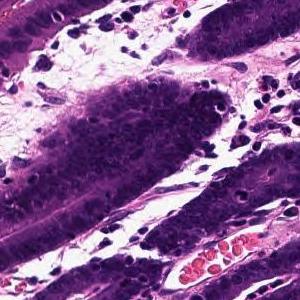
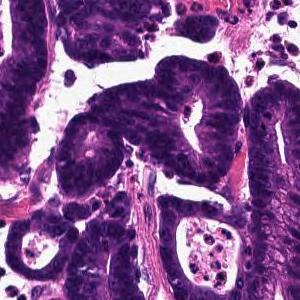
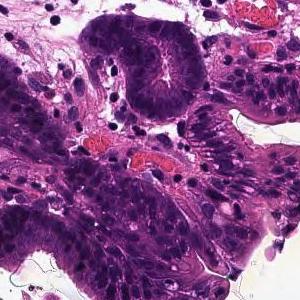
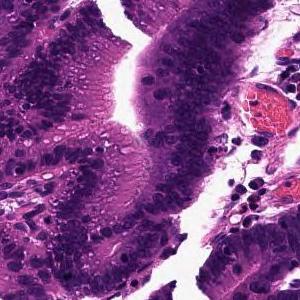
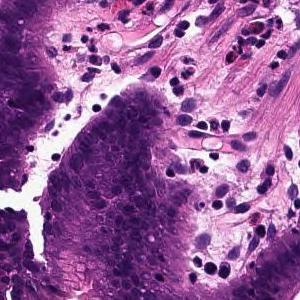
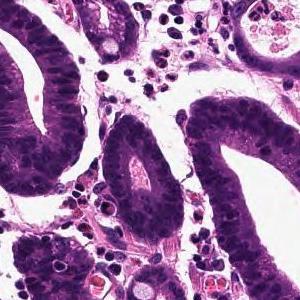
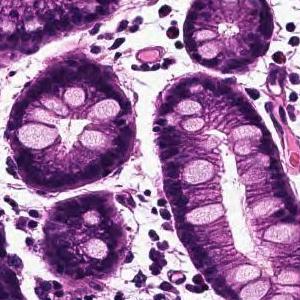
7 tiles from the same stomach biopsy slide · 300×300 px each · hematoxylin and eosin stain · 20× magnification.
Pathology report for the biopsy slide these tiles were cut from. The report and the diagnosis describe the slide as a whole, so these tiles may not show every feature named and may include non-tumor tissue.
Tumor tissue that infiltrates by forming large papillary or large irregular glandular ducts is observed confined to the mucosa. Papillary adenocarcinoma
